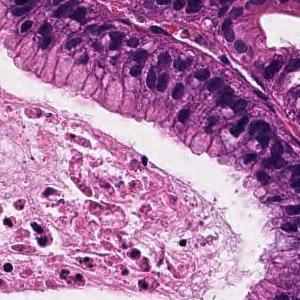
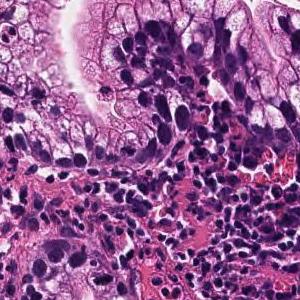
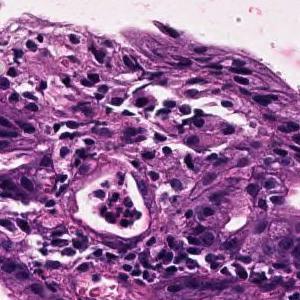
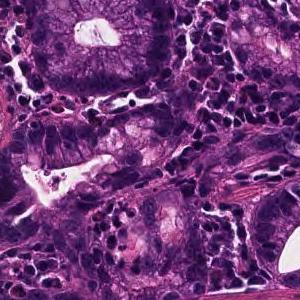
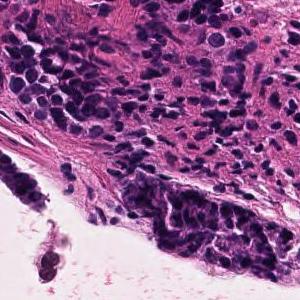
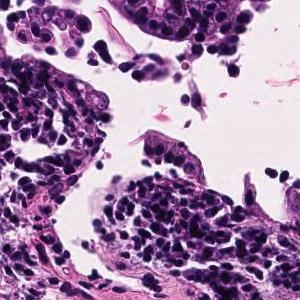
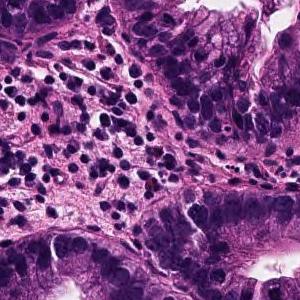
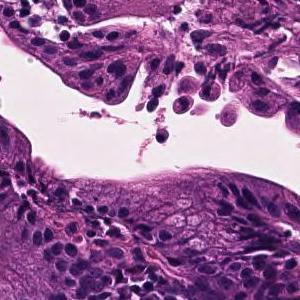
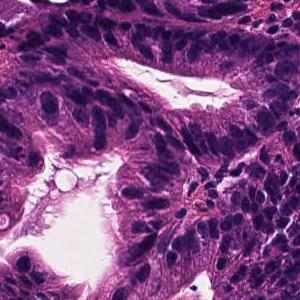
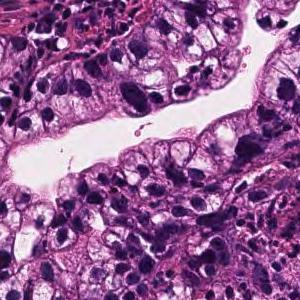
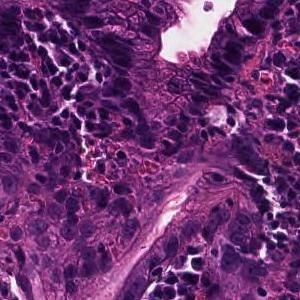
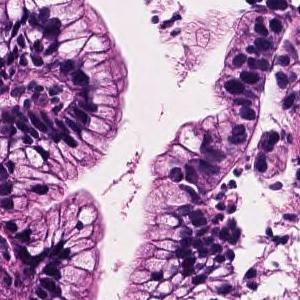
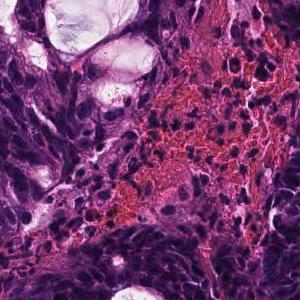
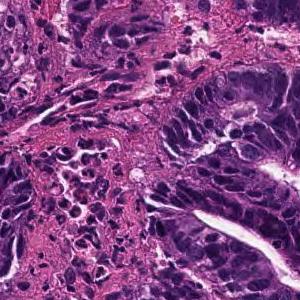
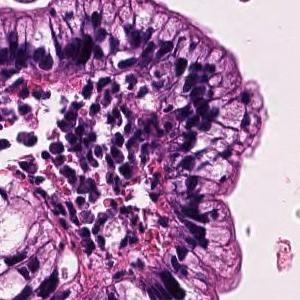
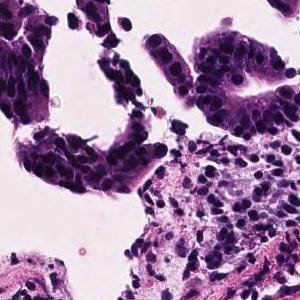
16 tiles from the same stomach biopsy slide · 300 × 300 pixels each · ×20 · H&E.
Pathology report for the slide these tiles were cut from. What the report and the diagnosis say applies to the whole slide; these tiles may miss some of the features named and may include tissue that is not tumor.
Tumor cells are large, highly columnar, large club-shaped nuclei, and are associated with chromatin aggregation. Papillary adenocarcinoma.
